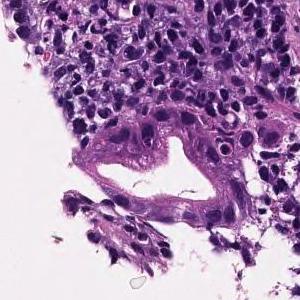
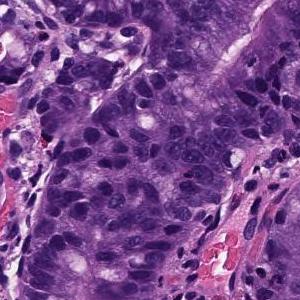
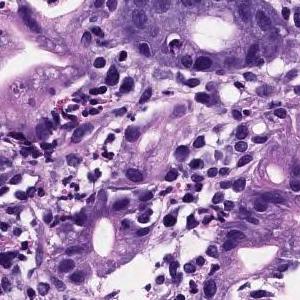
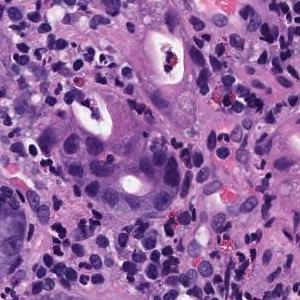
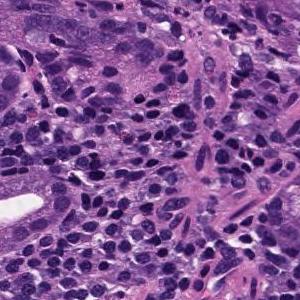
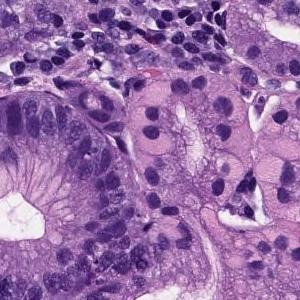
6 image tiles from a single gastric biopsy slide; 300 × 300 pixels each; H&E; 20× magnification.
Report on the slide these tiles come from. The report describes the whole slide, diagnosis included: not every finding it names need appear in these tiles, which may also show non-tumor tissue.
Medium to small, irregular glandular ducts are formed in the superficial epithelium, and in some cases, the glandular ducts are fused to show solid alveolar lesions and infiltrating tumor tissue is observed. Moderately to poorly differentiated adenocarcinoma.
